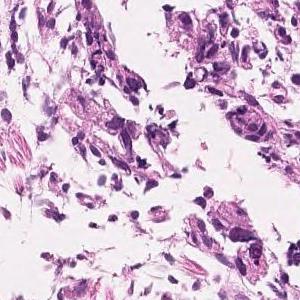
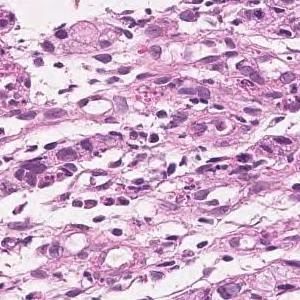
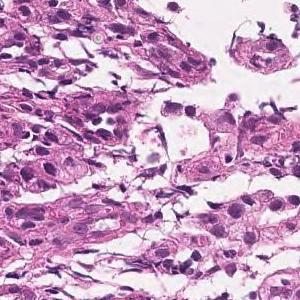
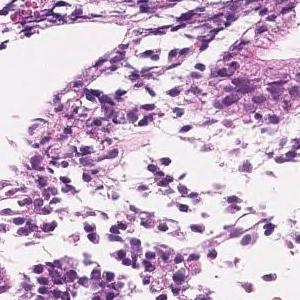
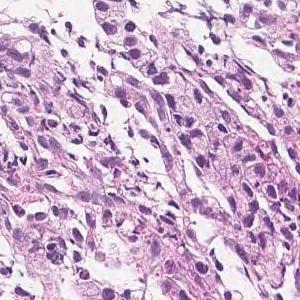
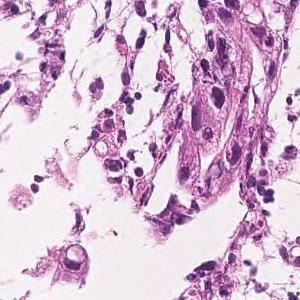
Hematoxylin and eosin stain; ×20; 6 patches cut from one gastric biopsy slide; each 300 × 300 pixels.
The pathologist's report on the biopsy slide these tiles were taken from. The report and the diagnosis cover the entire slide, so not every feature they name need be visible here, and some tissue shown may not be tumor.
In the superficial epithelium, medium to small, irregular glandular ducts are formed, and in some parts, the glandular ducts are fused, and in other parts, small cord-like infiltrating tumor tissue is observed. Moderately to poorly differentiated adenocarcinoma.
